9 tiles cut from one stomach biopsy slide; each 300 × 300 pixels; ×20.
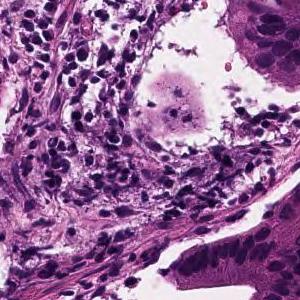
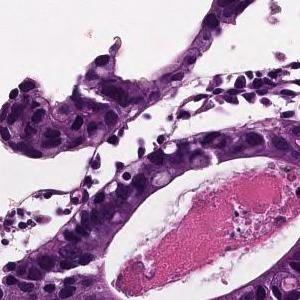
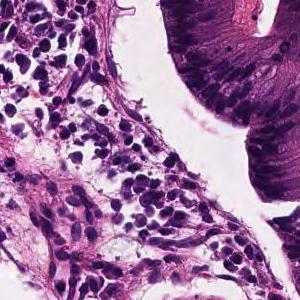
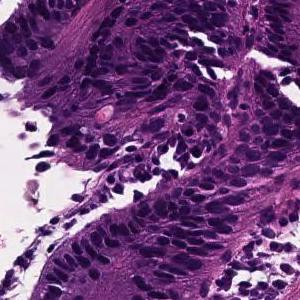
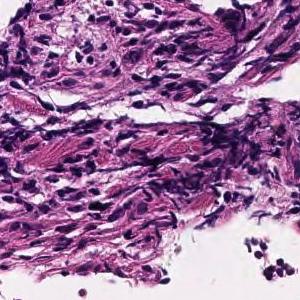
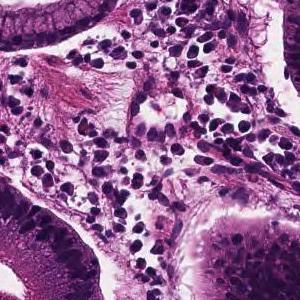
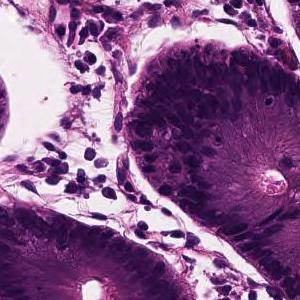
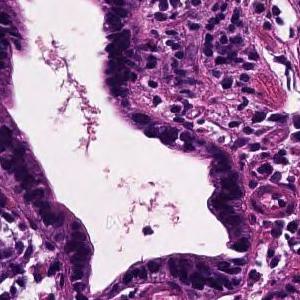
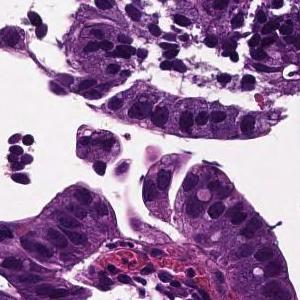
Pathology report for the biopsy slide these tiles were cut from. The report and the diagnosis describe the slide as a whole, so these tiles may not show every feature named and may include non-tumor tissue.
In the superficial epithelium, tumor tissue that invades by forming medium-sized to small, irregular ducts is observed. moderately differentiated tubular adenocarcinoma.
